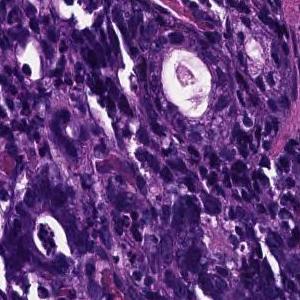
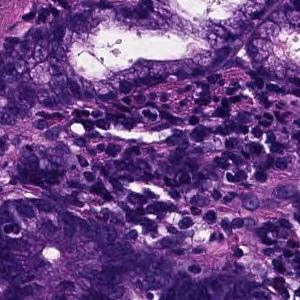
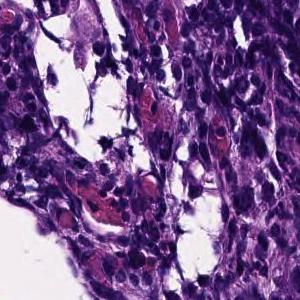
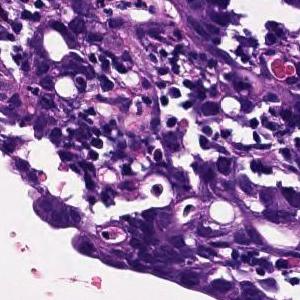
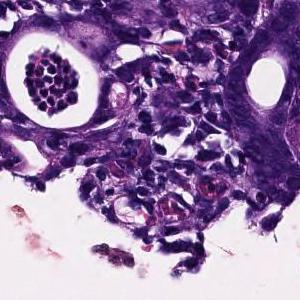
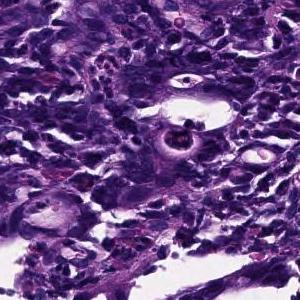
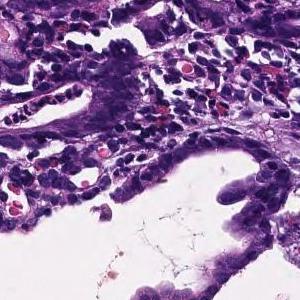
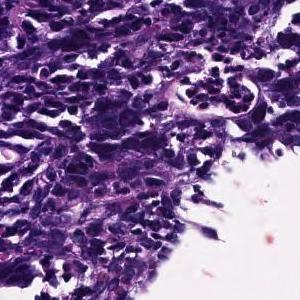
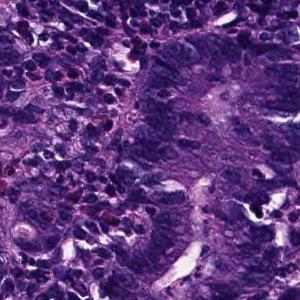
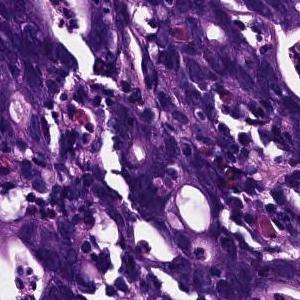
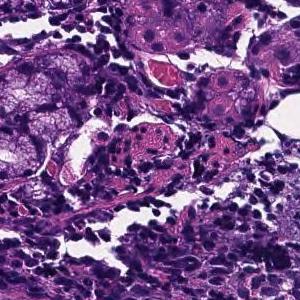
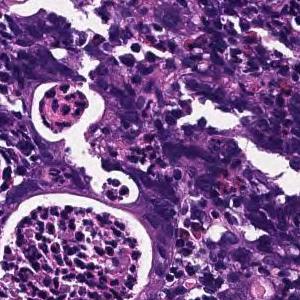
12 patches cut from one gastric biopsy slide, H&E.
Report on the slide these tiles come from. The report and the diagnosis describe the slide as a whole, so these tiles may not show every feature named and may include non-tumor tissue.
In the superficial epithelium, tumor tissue that invades by forming medium-sized to small, irregular ducts is observed. moderately differentiated tubular adenocarcinoma.
